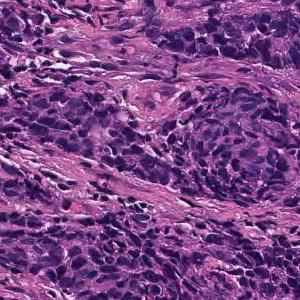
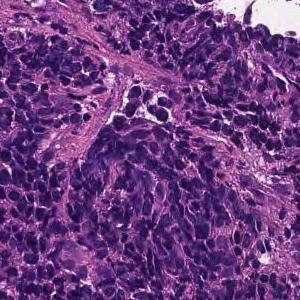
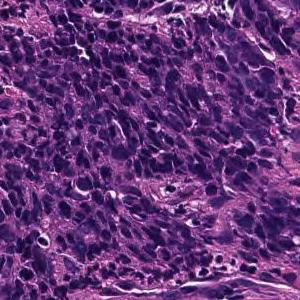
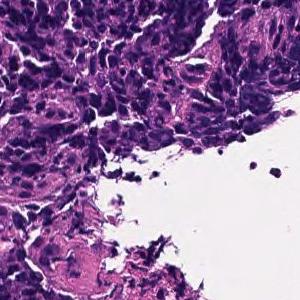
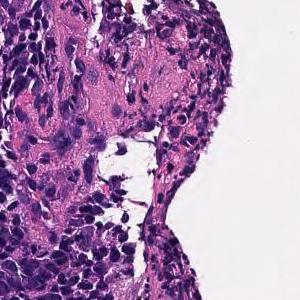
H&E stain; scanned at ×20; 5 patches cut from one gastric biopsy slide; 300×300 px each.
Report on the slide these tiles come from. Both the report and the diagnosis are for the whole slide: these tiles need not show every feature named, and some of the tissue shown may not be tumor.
Tumor tissue consisting of cord-like or small, irregular glandular ducts fused and infiltrated is observed in the superficial epithelium. Poorly differentiated adenocarcinoma, non-solid type
The term "non-solid type" comes from the Japanese Classification of Gastric Carcinoma.
